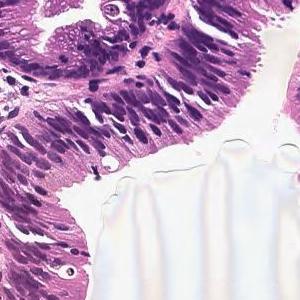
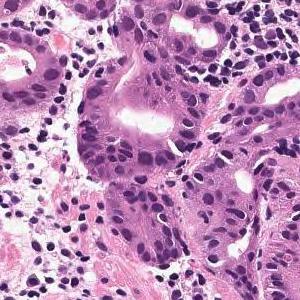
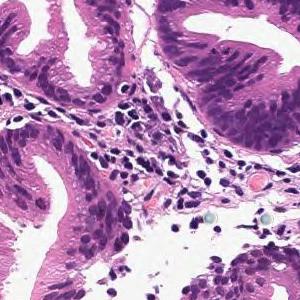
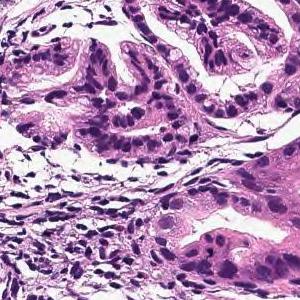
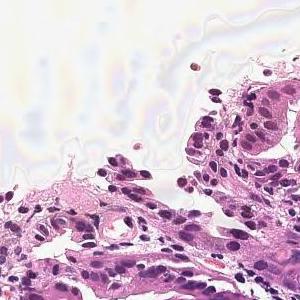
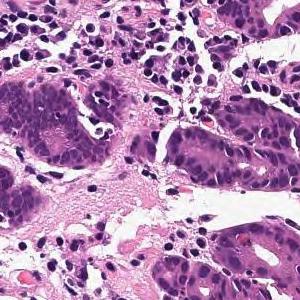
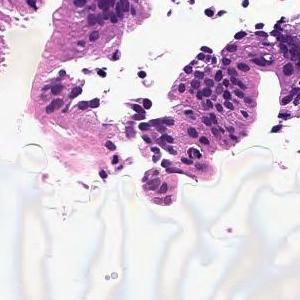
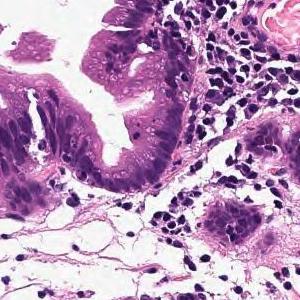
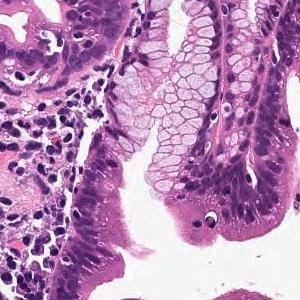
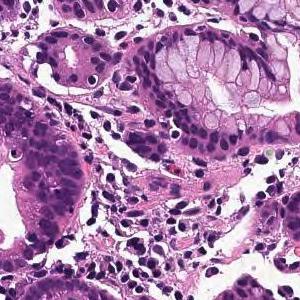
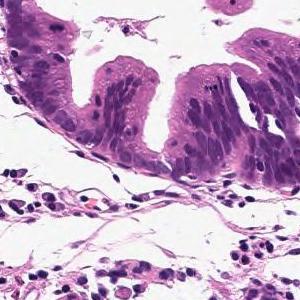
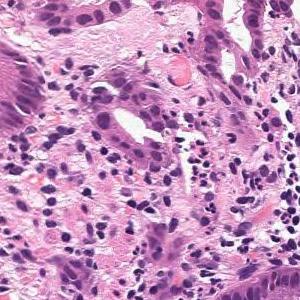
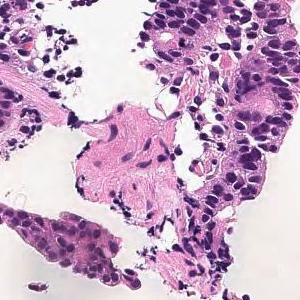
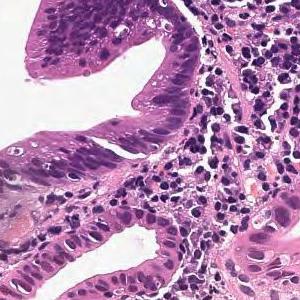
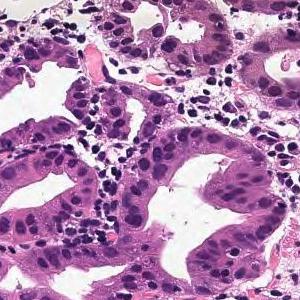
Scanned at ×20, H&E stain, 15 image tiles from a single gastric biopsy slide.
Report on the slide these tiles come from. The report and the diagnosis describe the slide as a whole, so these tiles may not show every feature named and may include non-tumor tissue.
Cells with elliptical or atypical nuclei form dense ducts with relatively clear growth. Well differentiated tubular adenocarcinoma
